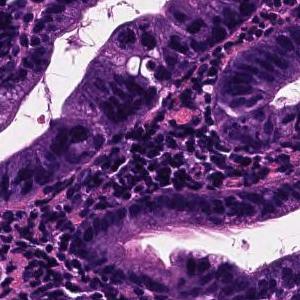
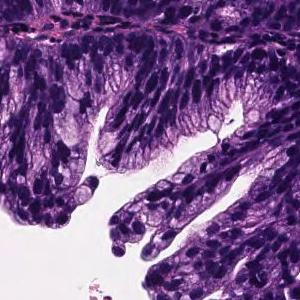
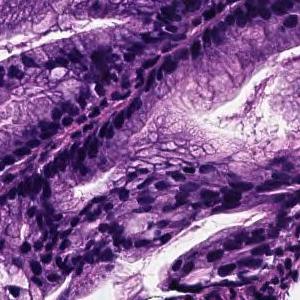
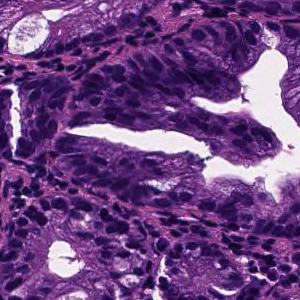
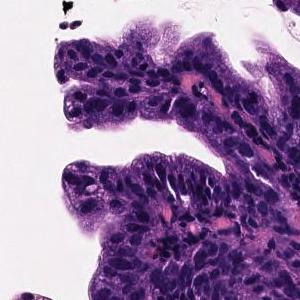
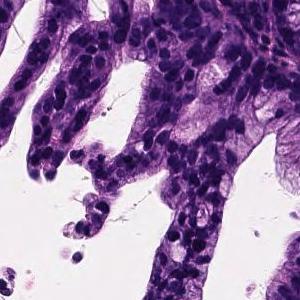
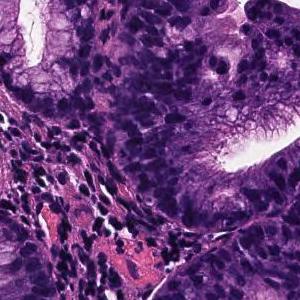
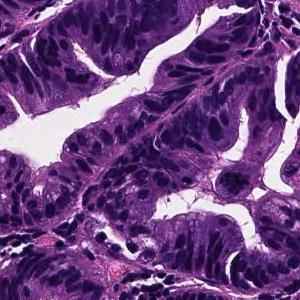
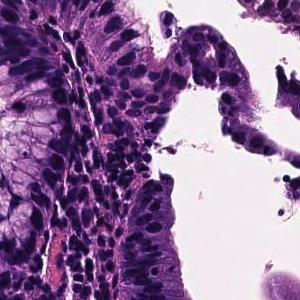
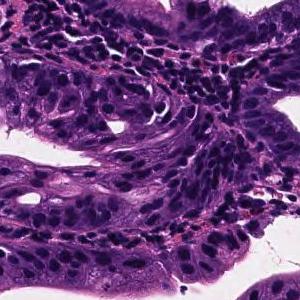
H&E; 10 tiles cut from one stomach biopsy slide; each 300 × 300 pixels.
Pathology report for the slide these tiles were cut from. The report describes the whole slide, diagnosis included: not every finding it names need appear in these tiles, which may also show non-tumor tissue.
On the superficial epithelium, tumor tissue that infiltrates by forming medium-sized papillary or small irregular ducts is observed. Papillary adenocarcinoma
